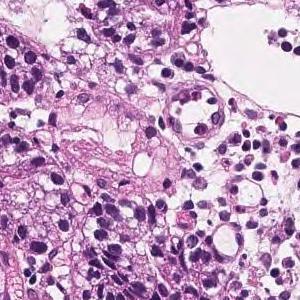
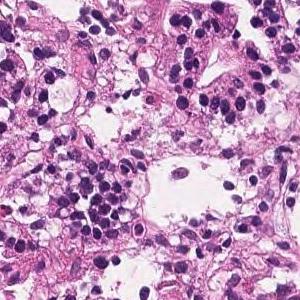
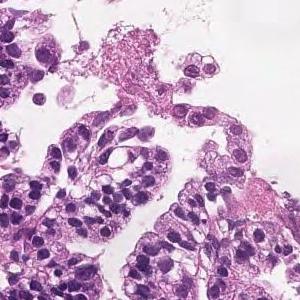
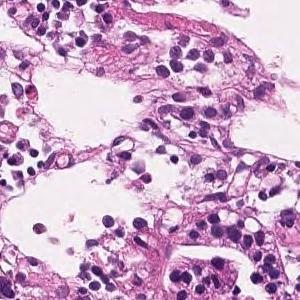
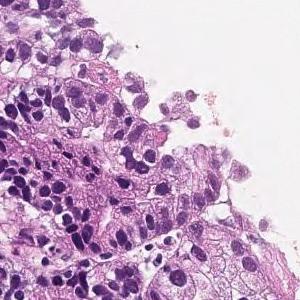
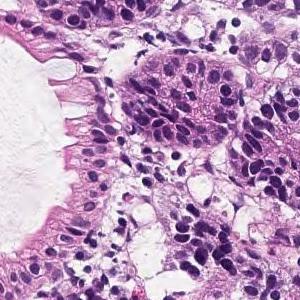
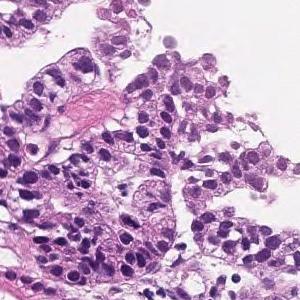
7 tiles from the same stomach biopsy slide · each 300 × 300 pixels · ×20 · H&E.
Diagnostic report for the slide these tiles come from. Both the report and the diagnosis are for the whole slide: these tiles need not show every feature named, and some of the tissue shown may not be tumor.
In the superficial epithelium, tumor tissue that invades by forming medium-sized to small, irregular ducts is observed. moderately differentiated tubular adenocarcinoma.
